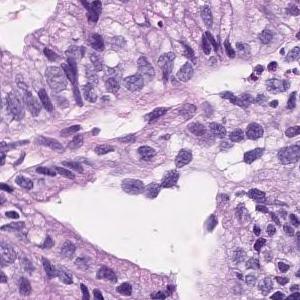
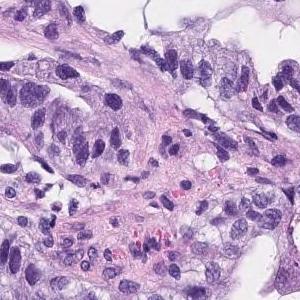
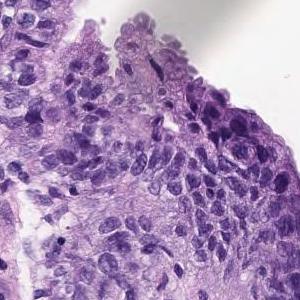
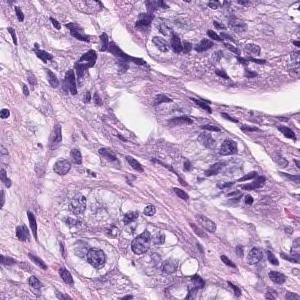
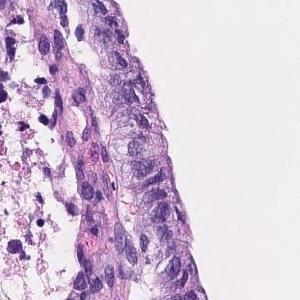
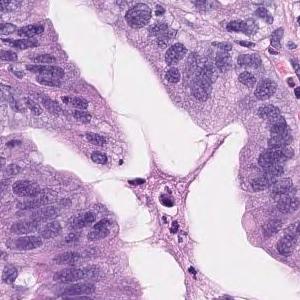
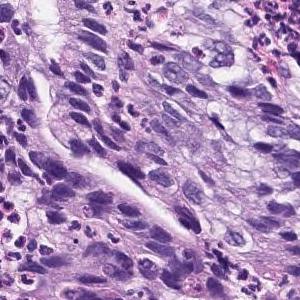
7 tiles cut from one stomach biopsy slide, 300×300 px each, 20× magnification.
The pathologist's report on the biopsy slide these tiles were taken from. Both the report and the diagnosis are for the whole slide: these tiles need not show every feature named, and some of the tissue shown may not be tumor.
Tumor cells are large, highly columnar, large club-shaped nuclei, and are associated with chromatin aggregation. Papillary adenocarcinoma.
